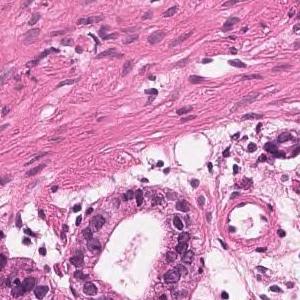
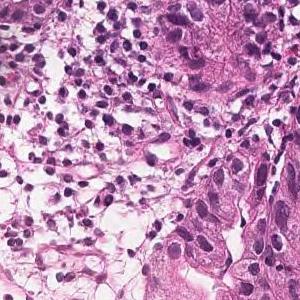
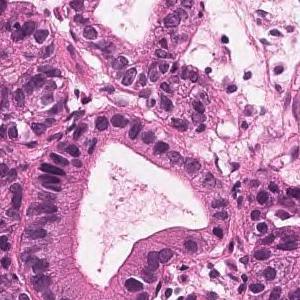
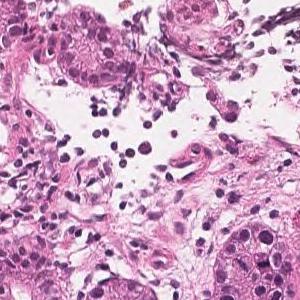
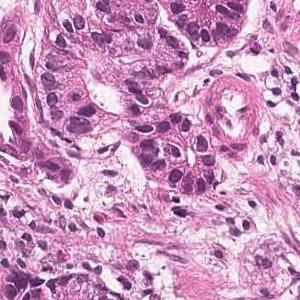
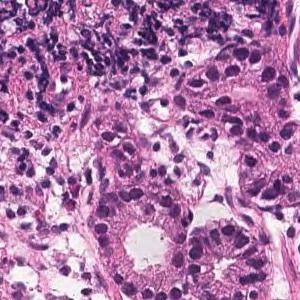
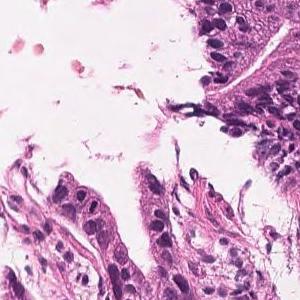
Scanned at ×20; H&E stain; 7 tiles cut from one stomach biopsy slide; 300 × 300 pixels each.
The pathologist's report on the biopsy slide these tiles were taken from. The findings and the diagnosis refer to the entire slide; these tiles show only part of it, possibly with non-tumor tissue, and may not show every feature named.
Tumor tissue consisting of medium-sized and irregular ducts is observed infiltrating in the superficial epithelium. Tumor cells are highly columnar, with nuclei aligned basolaterally and polarized. Well differentiated tubular adenocarcinoma.
